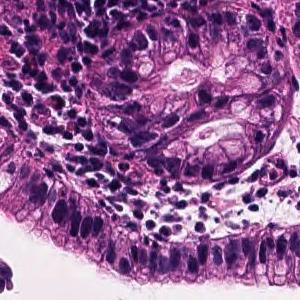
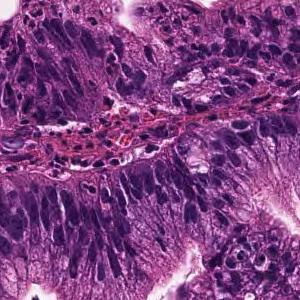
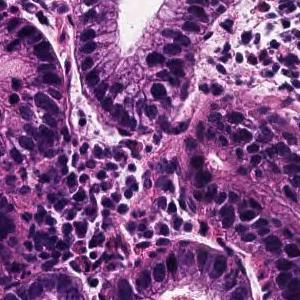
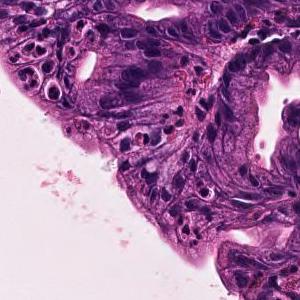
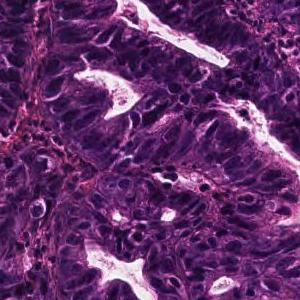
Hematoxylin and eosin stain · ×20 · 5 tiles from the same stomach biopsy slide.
The pathologist's report on the biopsy slide these tiles were taken from. What the report and the diagnosis say applies to the whole slide; these tiles may miss some of the features named and may include tissue that is not tumor.
Tumor cells are large, highly columnar, large club-shaped nuclei, and are associated with chromatin aggregation. Papillary adenocarcinoma.
